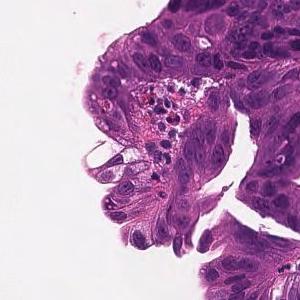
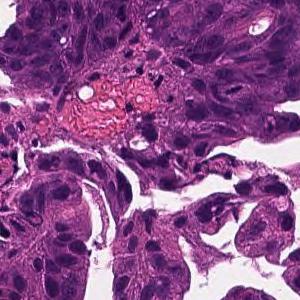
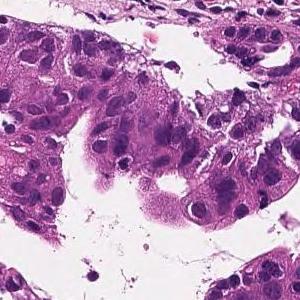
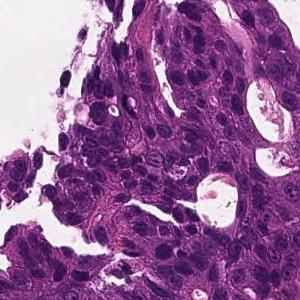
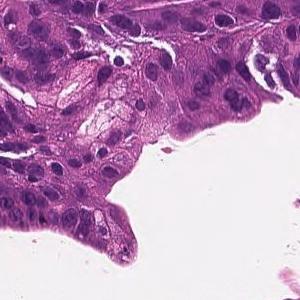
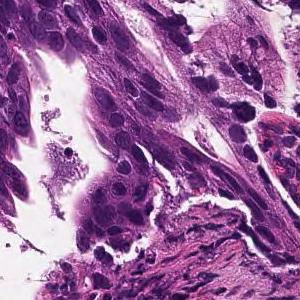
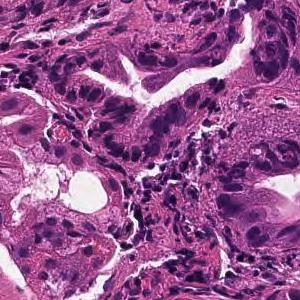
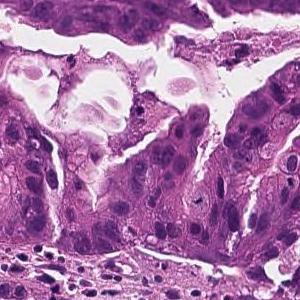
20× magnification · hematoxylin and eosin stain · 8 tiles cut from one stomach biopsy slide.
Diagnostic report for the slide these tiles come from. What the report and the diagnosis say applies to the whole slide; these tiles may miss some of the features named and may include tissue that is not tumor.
On the superficial epithelium, tumor tissue is found in which medium-sized irregular gland ducts fuse with each other and infiltrate. moderately differentiated tubular adenocarcinoma
